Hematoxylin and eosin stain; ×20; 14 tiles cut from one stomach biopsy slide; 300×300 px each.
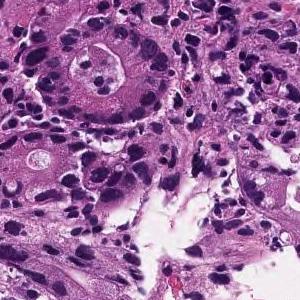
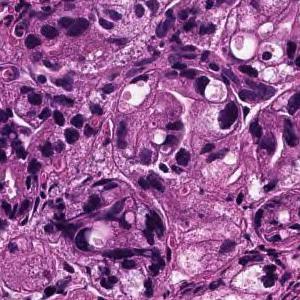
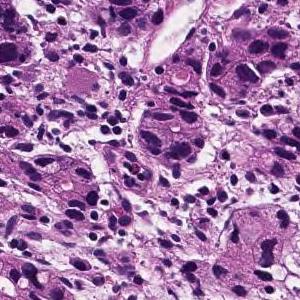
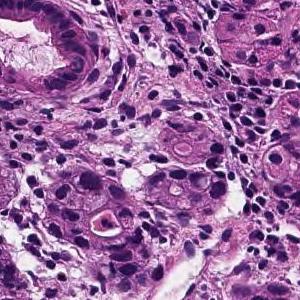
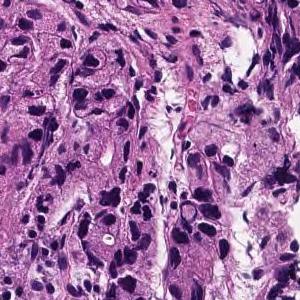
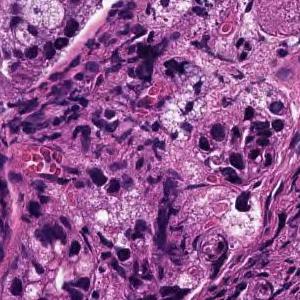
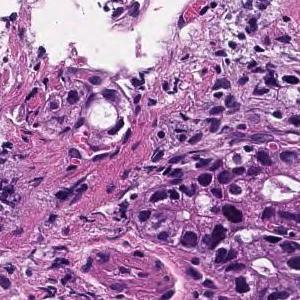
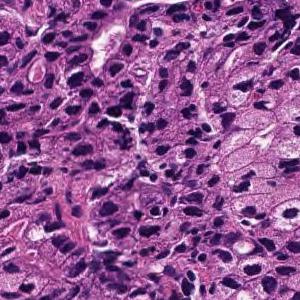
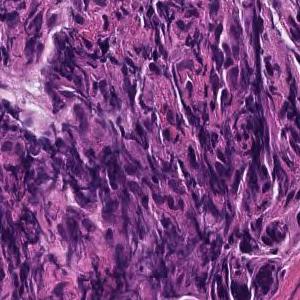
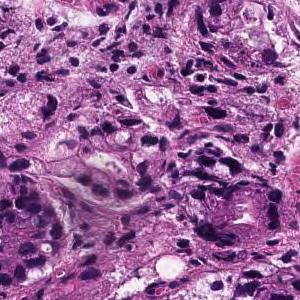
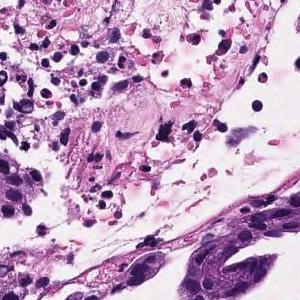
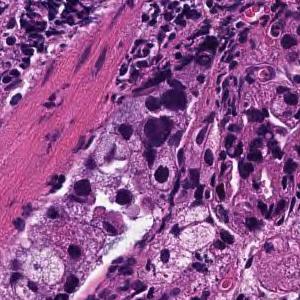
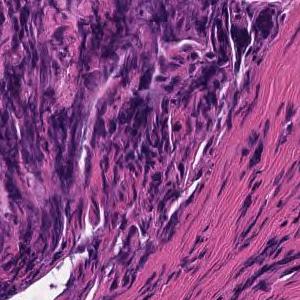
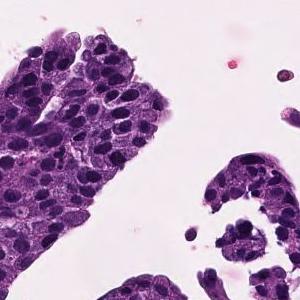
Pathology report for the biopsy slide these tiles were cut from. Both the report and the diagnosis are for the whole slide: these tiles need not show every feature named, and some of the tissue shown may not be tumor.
In the superficial epithelium, tumor tissue that invades by forming medium-sized to small, irregular ducts is observed. moderately differentiated tubular adenocarcinoma.
